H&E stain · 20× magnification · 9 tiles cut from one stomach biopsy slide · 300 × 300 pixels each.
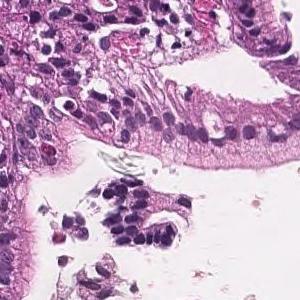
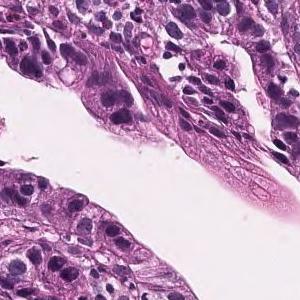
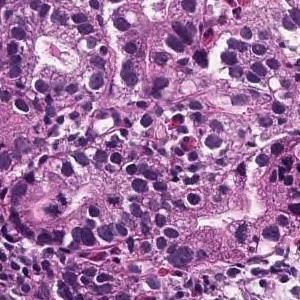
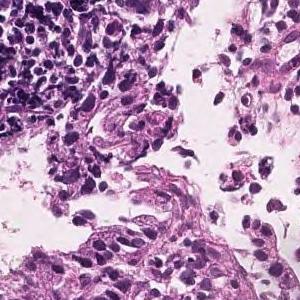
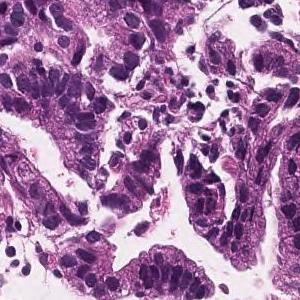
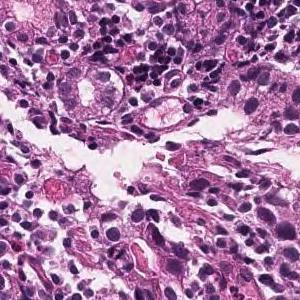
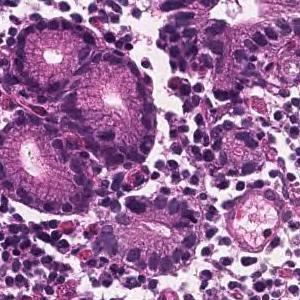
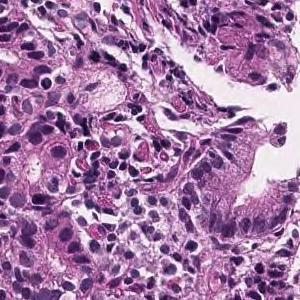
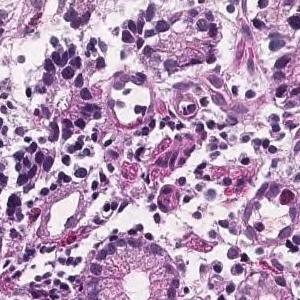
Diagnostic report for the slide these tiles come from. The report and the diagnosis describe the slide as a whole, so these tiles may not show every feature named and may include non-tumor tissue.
Tumor tissue that forms medium-sized, irregular glandular ducts and is papillary and proliferate is observed confined to the mucosal epithelium. moderately differentiated tubular adenocarcinoma.
